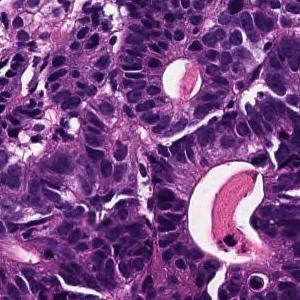
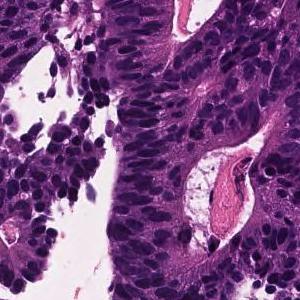
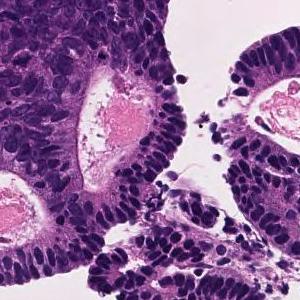
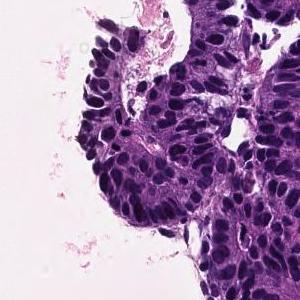
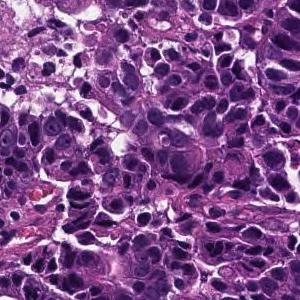
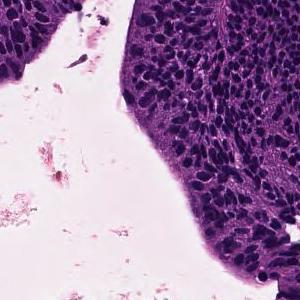
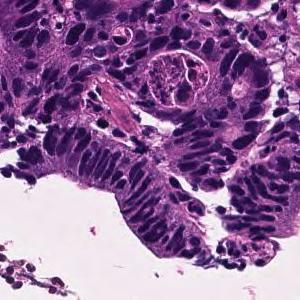
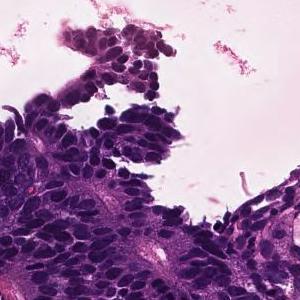
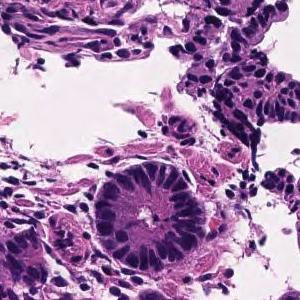
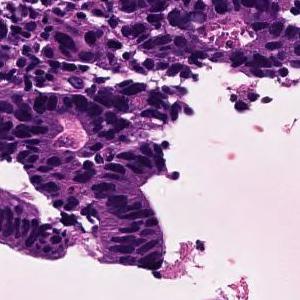
10 image tiles from a single gastric biopsy slide · 300×300 px each · 20× magnification · H&E.
Pathology report for the slide these tiles were cut from. Both the report and the diagnosis are for the whole slide: these tiles need not show every feature named, and some of the tissue shown may not be tumor.
In the superficial epithelium, tumor tissue that invades by forming medium-sized to small, irregular ducts is observed. moderately differentiated tubular adenocarcinoma.
